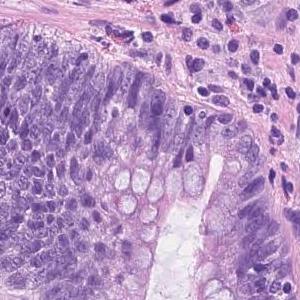
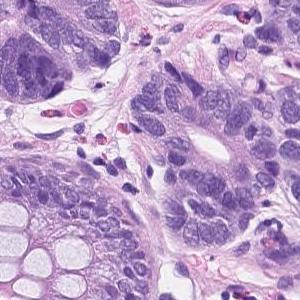
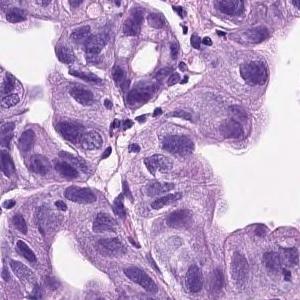
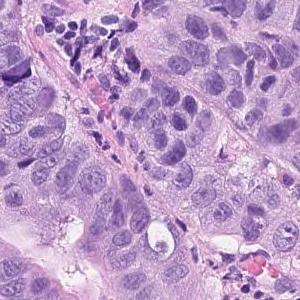
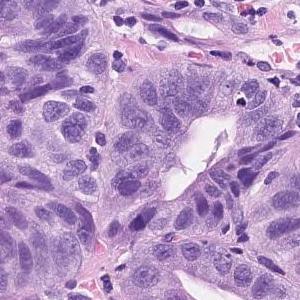
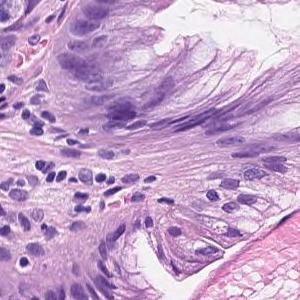
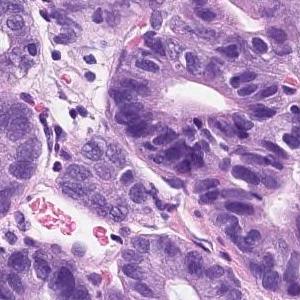
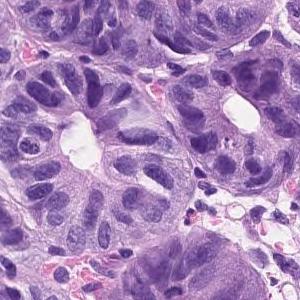
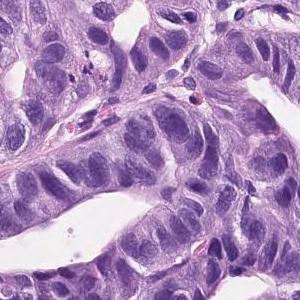
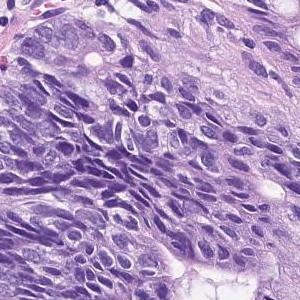
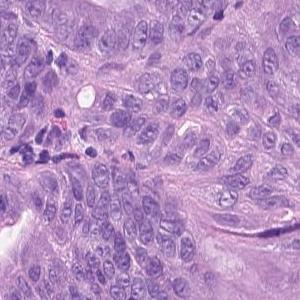
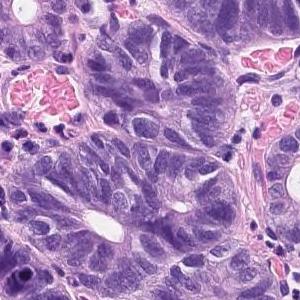
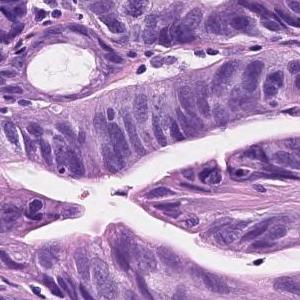
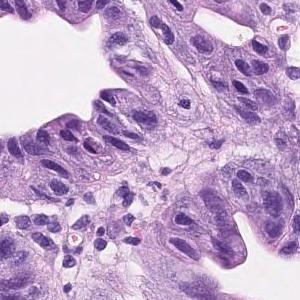
14 tiles cut from one stomach biopsy slide · each 300 × 300 pixels · H&E · 20× magnification.
The pathologist's report on the biopsy slide these tiles were taken from. Both the report and the diagnosis are for the whole slide: these tiles need not show every feature named, and some of the tissue shown may not be tumor.
Tumor tissue consisting of medium-sized and irregular ducts is observed infiltrating in the superficial epithelium. Tumor cells are highly columnar, with nuclei aligned basolaterally and polarized. Well differentiated tubular adenocarcinoma.
